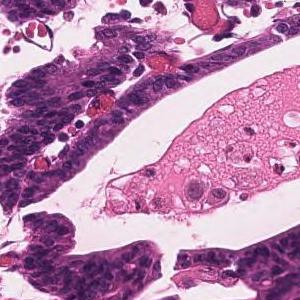
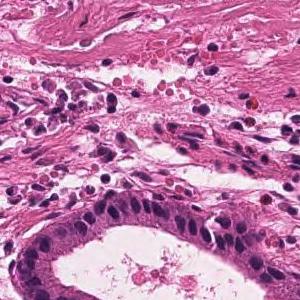
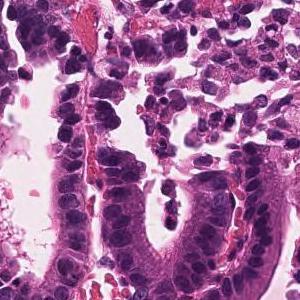
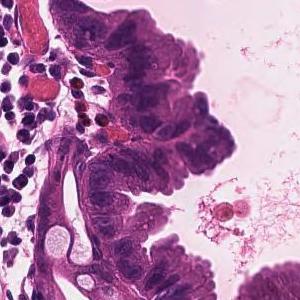
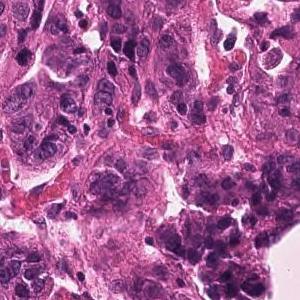
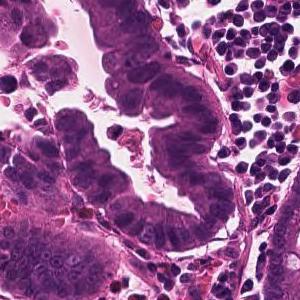
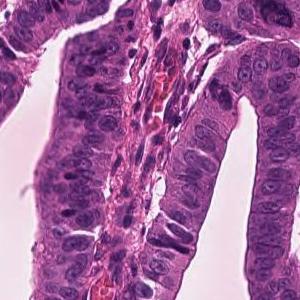
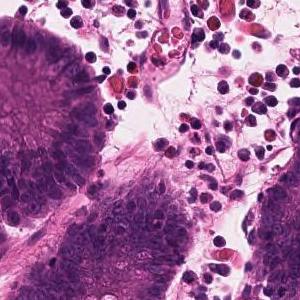
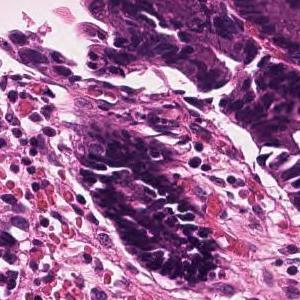
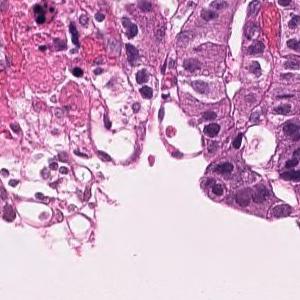
H&E stain, 10 tiles cut from one stomach biopsy slide.
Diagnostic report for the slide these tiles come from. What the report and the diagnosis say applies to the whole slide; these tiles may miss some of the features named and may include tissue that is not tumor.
Infiltrating tumor tissue with medium-sized, irregular ductal structure or large papillary appearance is observed. Well differentiated tubular adenocarcinoma
